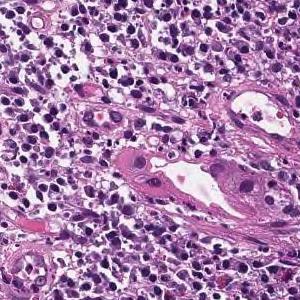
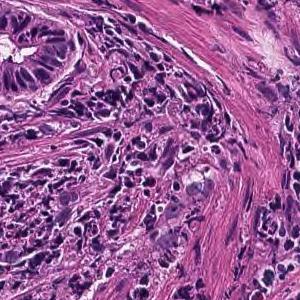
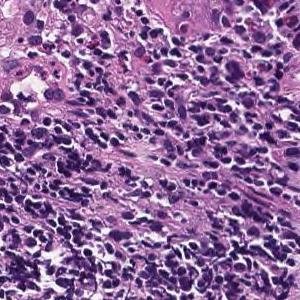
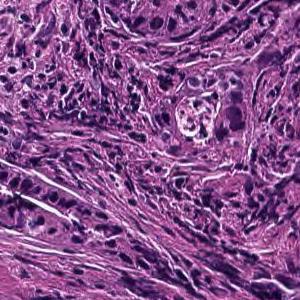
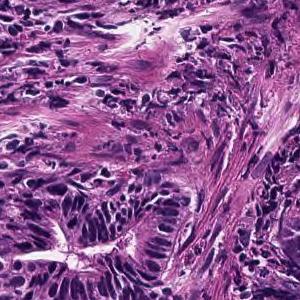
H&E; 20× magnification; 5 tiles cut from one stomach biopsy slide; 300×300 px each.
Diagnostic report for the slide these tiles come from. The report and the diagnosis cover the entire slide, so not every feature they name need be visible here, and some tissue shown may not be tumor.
On the superficial epithelium, tumor tissue consisting of large, irregular glandular ducts partially fused and infiltrated is observed. Well to moderately differentiated tubular adenocarcinoma (well differentiated tubular adenocarcinoma, moderately differentiated tubular adenocarcinoma)
Histological subtype: Well to moderately differentiated tubular adenocarcinoma.
